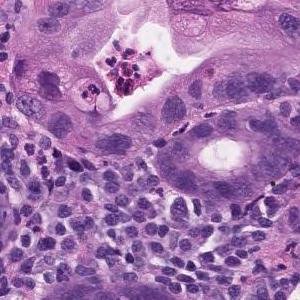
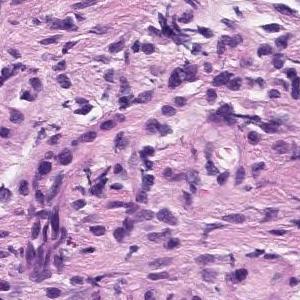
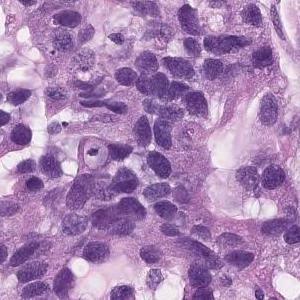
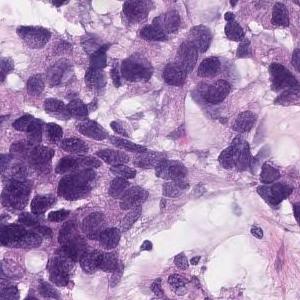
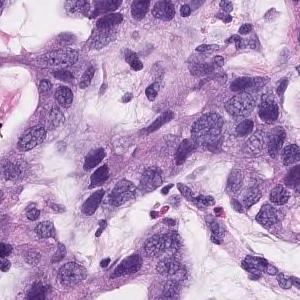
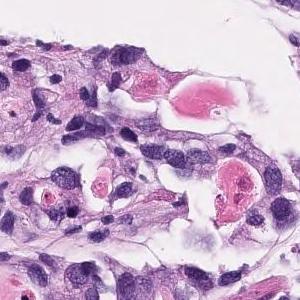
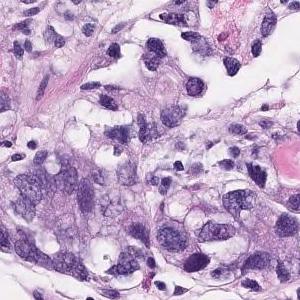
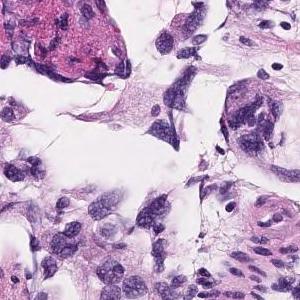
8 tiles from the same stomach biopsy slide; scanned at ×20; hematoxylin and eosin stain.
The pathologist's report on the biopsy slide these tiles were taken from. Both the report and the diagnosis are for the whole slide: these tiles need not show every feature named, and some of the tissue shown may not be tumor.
Group 5, Adenocarcinoma. Moderately to poorly differentiated adenocarcinoma
